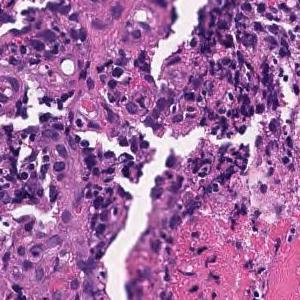
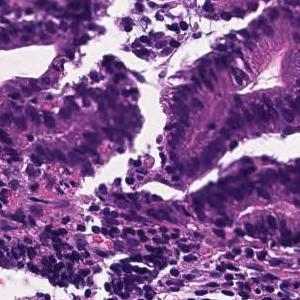
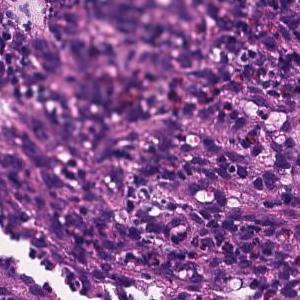
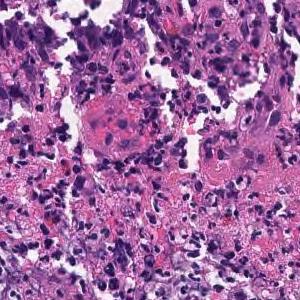
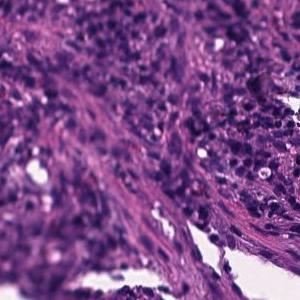
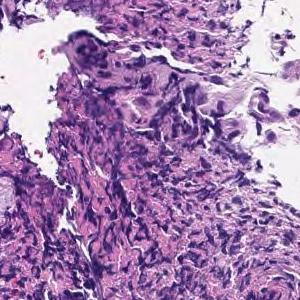
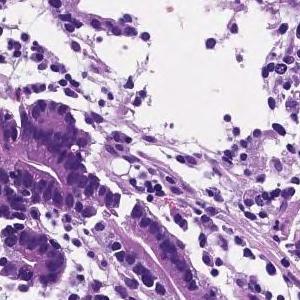
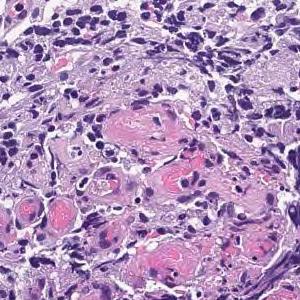
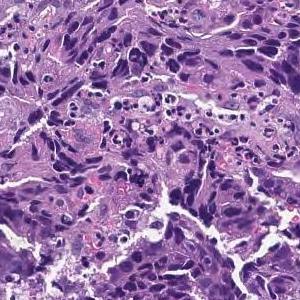
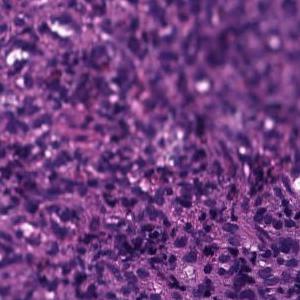
10 patches cut from one gastric biopsy slide · scanned at ×20.
The pathologist's report on the biopsy slide these tiles were taken from. What the report and the diagnosis say applies to the whole slide; these tiles may miss some of the features named and may include tissue that is not tumor.
On the superficial epithelium, tumor tissue consisting of large irregular glandular ducts partially fused and infiltrated is observed. Well to moderately differentiated tubular adenocarcinoma (well differentiated tubular adenocarcinoma, moderately differentiated tubular adenocarcinoma)
Tumor subtype: well to moderately differentiated tubular adenocarcinoma.
